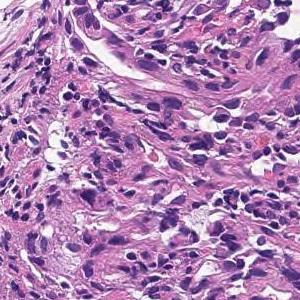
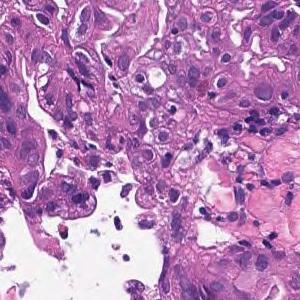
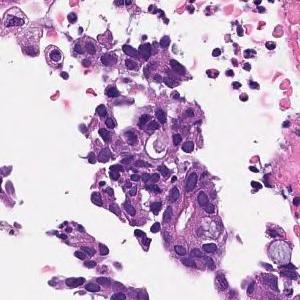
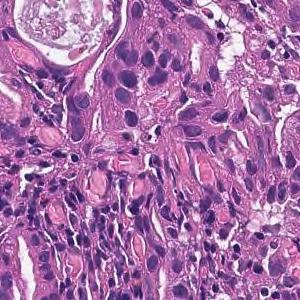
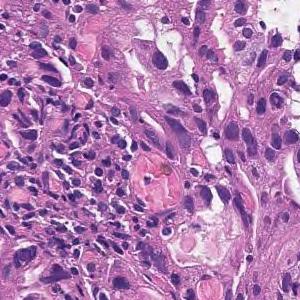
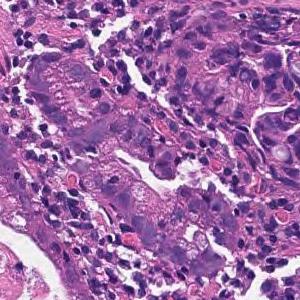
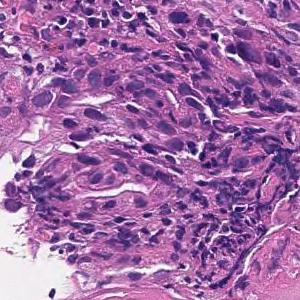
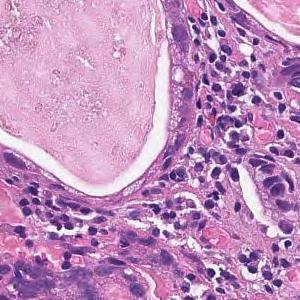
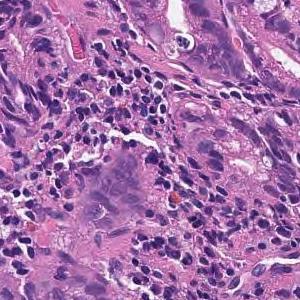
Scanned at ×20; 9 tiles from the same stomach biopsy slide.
Diagnostic report for the slide these tiles come from. The report and the diagnosis cover the entire slide, so not every feature they name need be visible here, and some tissue shown may not be tumor.
In the superficial epithelium, tumor tissue that invades by forming medium-sized to small, irregular ducts is observed. moderately differentiated tubular adenocarcinoma.
